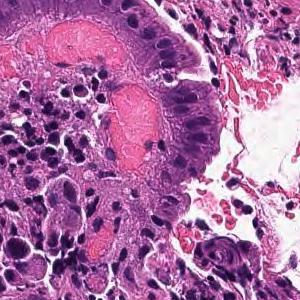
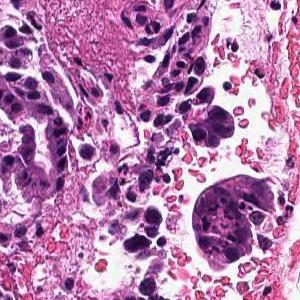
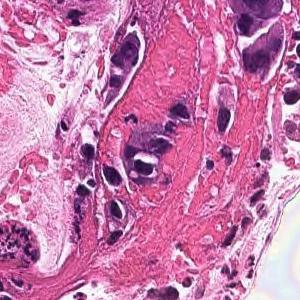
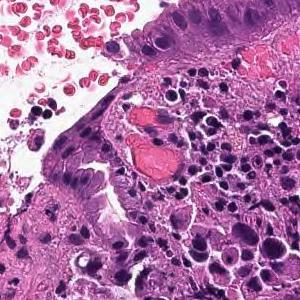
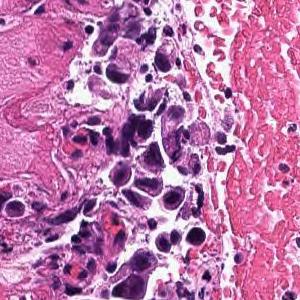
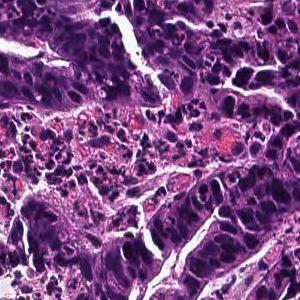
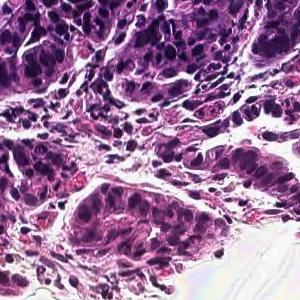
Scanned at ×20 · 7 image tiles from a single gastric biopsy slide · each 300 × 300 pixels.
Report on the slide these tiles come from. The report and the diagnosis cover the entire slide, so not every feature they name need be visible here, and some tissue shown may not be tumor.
Tumor tissue consisting of medium-sized, cord-like or irregular glandular infiltration is observed in the superficial epithelium. Poorly differentiated adenocarcinoma, non-solid type or moderately differentiated tubular adenocarcinoma
Classified as moderately to poorly differentiated adenocarcinoma.
The term "non-solid type" comes from the Japanese Classification of Gastric Carcinoma.
